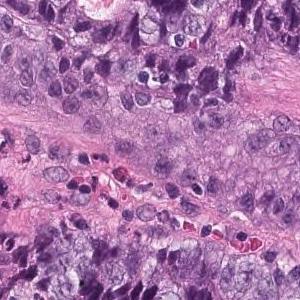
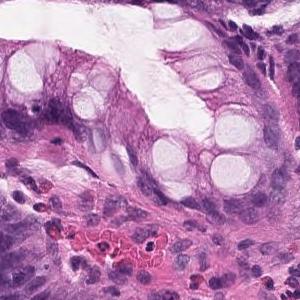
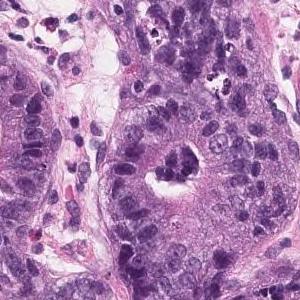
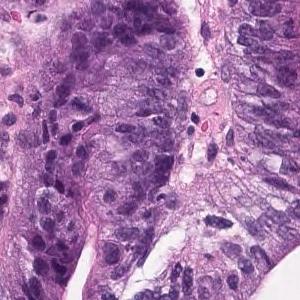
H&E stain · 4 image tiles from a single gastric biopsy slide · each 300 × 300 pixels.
Diagnostic report for the slide these tiles come from. The findings and the diagnosis refer to the entire slide; these tiles show only part of it, possibly with non-tumor tissue, and may not show every feature named.
Large atypical epithelial cells with swollen atypical nuclei are seen proliferating into a tubular fusion gland. moderately differentiated tubular adenocarcinoma
